5 image tiles from a single gastric biopsy slide · each 300 × 300 pixels · hematoxylin and eosin stain.
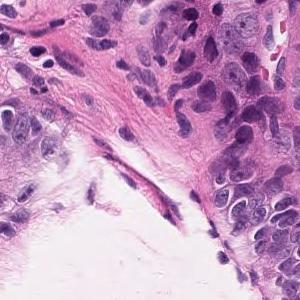
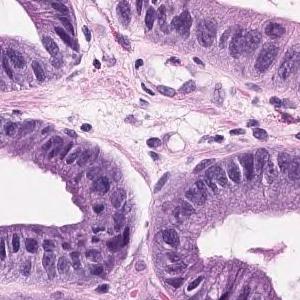
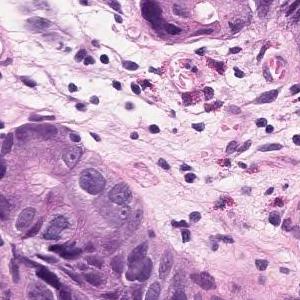
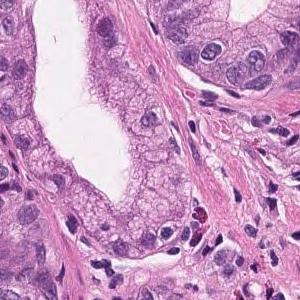
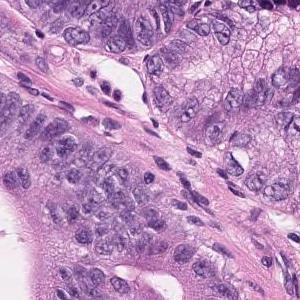
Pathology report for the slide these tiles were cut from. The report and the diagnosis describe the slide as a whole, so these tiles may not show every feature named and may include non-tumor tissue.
Atypical ducts that branch intricately are observed. Well differentiated tubular adenocarcinoma
